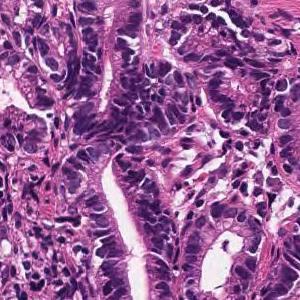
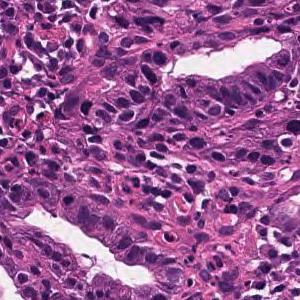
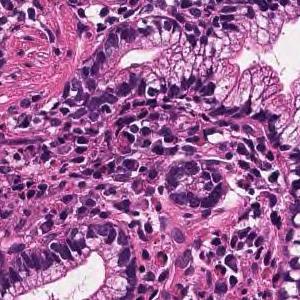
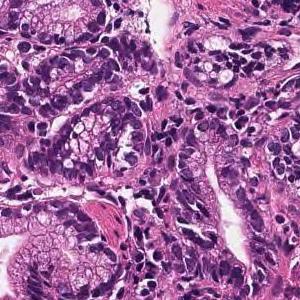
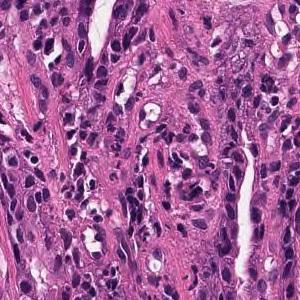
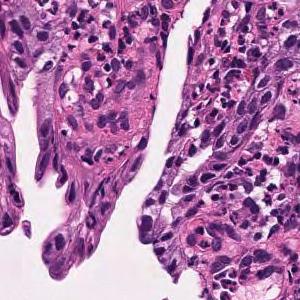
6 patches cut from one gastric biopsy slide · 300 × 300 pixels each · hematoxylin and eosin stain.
Pathology report for the slide these tiles were cut from. The findings and the diagnosis refer to the entire slide; these tiles show only part of it, possibly with non-tumor tissue, and may not show every feature named.
Tumor tissue in which medium to small irregular ducts infiltrate and proliferate in the submucosa can be seen in the epithelium. Well differentiated tubular adenocarcinoma
